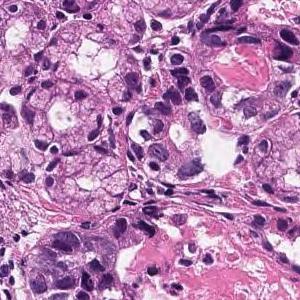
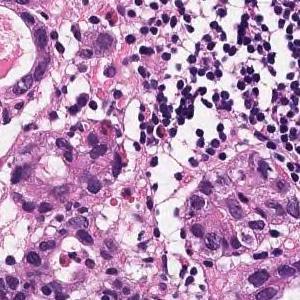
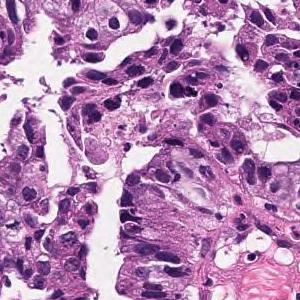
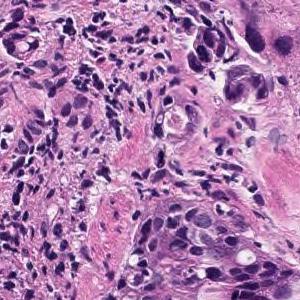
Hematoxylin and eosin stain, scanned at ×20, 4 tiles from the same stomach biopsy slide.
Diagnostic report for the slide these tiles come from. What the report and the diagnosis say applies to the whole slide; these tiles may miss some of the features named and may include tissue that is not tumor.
In the superficial epithelium, tumor tissue that invades by forming medium-sized to small, irregular ducts is observed. Moderately differentiated adenocarcinoma.
Tumor subtype: moderately differentiated tubular adenocarcinoma.
